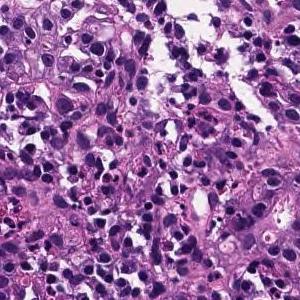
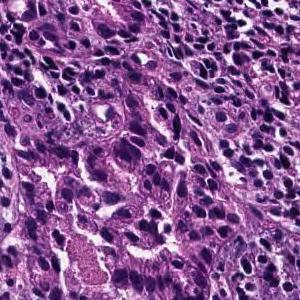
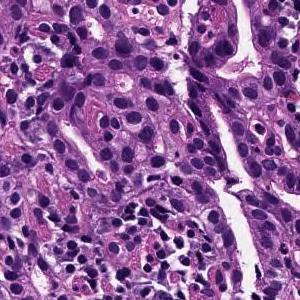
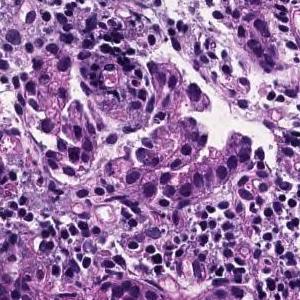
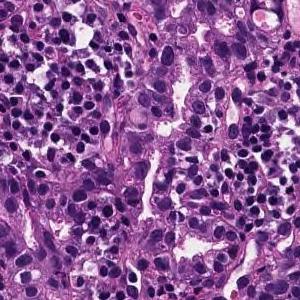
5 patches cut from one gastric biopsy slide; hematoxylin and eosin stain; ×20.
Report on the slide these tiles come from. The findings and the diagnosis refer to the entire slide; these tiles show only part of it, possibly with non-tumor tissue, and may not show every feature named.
Medium to small, irregular glandular ducts are formed in the superficial epithelium, and in some cases, the glandular ducts are fused to show solid alveolar lesions and infiltrating tumor tissue is observed. Moderately to poorly differentiated adenocarcinoma.
